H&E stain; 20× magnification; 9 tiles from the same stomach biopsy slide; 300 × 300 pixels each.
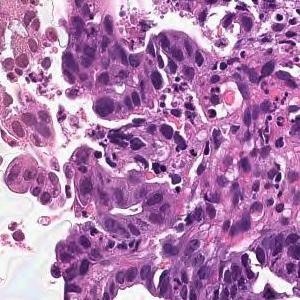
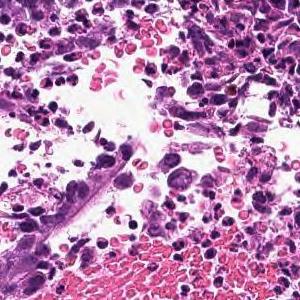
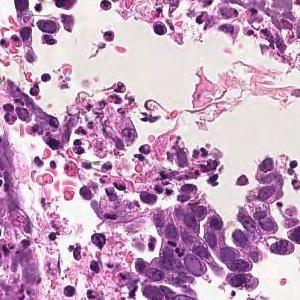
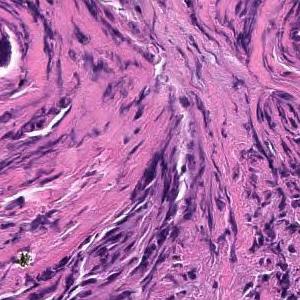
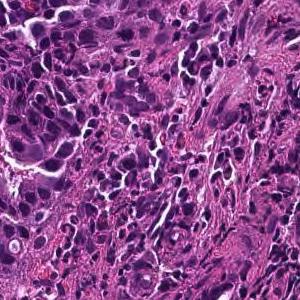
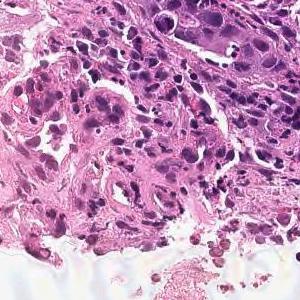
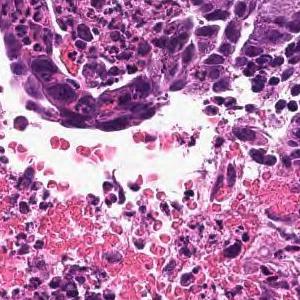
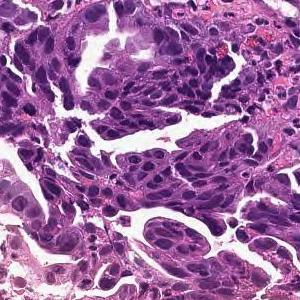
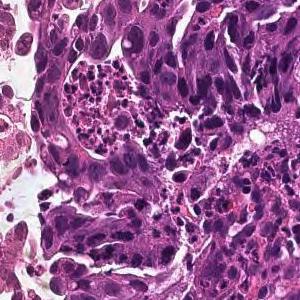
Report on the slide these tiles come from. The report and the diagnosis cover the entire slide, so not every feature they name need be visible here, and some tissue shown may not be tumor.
In the superficial epithelium, tumor tissue that invades by forming medium-sized to small, irregular ducts is observed. moderately differentiated tubular adenocarcinoma.
